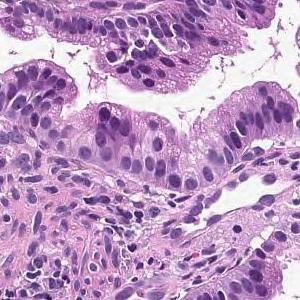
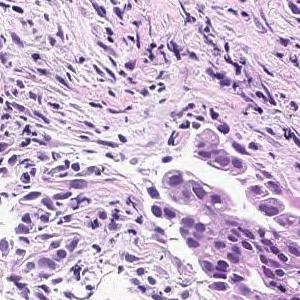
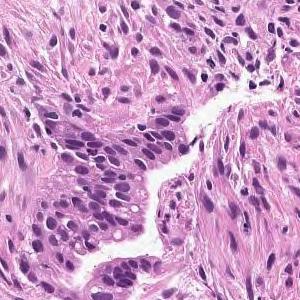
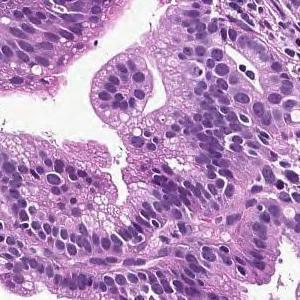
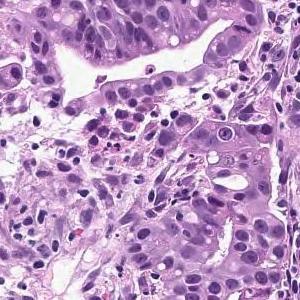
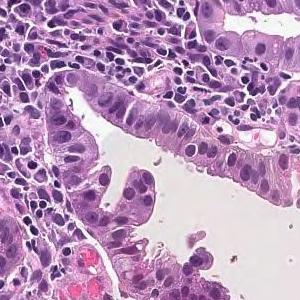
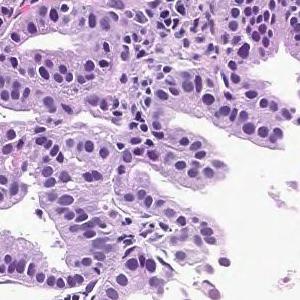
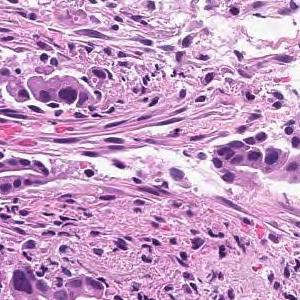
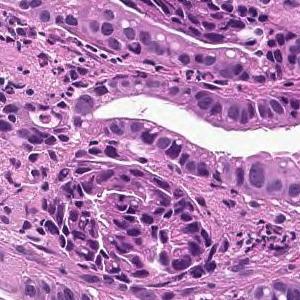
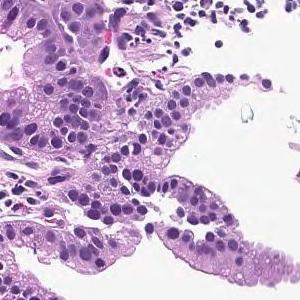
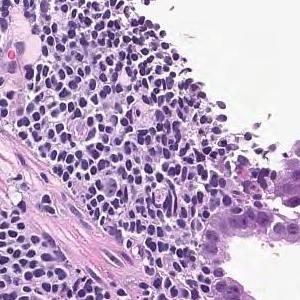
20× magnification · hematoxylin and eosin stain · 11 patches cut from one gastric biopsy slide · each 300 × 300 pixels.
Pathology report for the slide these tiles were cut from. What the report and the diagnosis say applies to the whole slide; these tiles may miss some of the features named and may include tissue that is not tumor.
On the superficial epithelium, tumor tissue that infiltrates by forming medium-sized papillary or small irregular ducts is observed. Papillary adenocarcinoma
